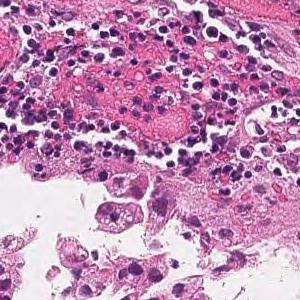
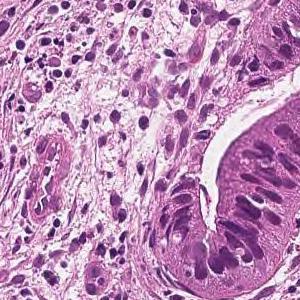
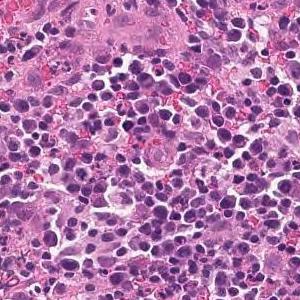
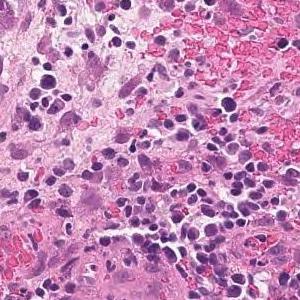
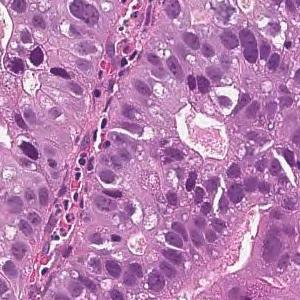
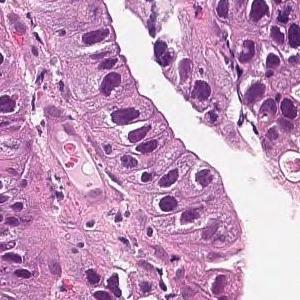
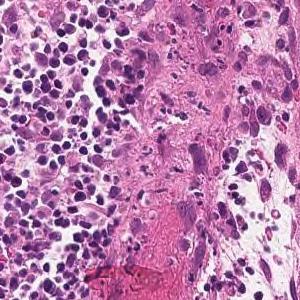
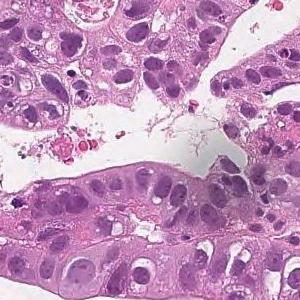
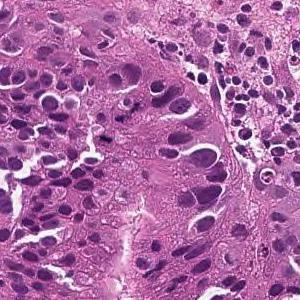
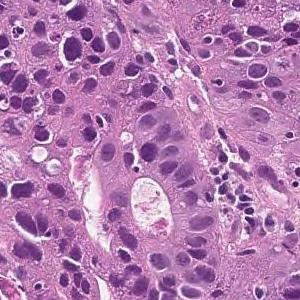
Hematoxylin and eosin stain; ×20; 10 tiles cut from one stomach biopsy slide.
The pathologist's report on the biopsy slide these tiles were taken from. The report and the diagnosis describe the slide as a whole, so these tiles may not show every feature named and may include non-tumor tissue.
In the superficial epithelium, tumor tissue that invades by forming medium-sized to small, irregular ducts is observed. moderately differentiated tubular adenocarcinoma.
